10 patches cut from one gastric biopsy slide; 300 × 300 pixels each; H&E stain.
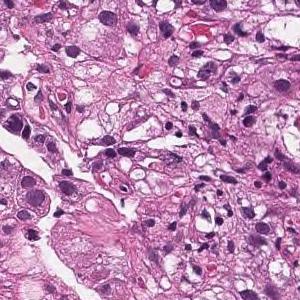
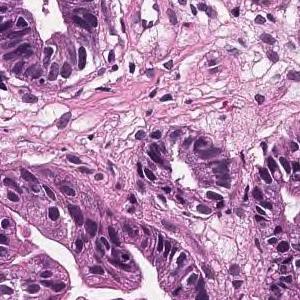
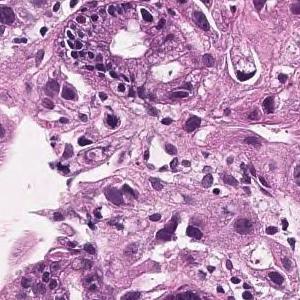
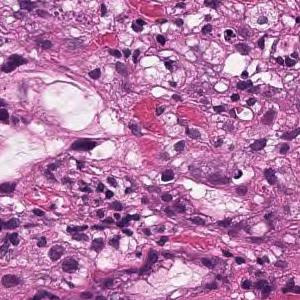
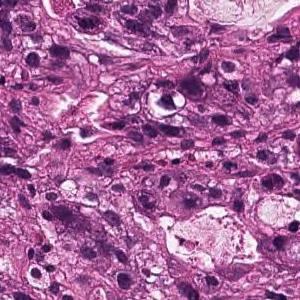
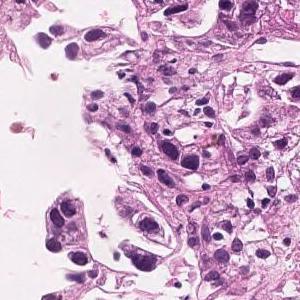
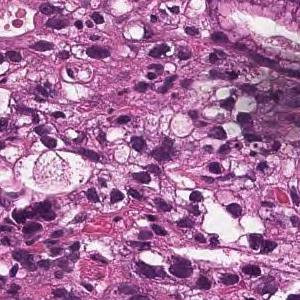
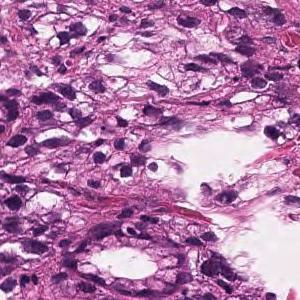
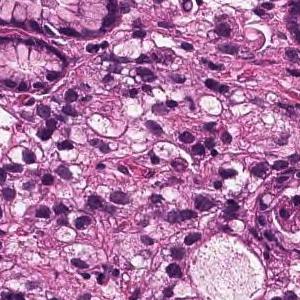
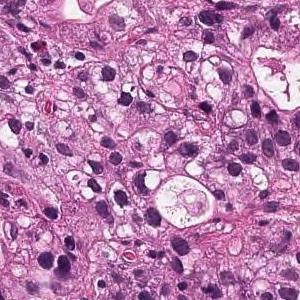
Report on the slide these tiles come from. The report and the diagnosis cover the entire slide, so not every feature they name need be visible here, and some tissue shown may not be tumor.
Medium to small, irregular glandular ducts are formed in the superficial epithelium, and in some cases, the glandular ducts are fused to show solid alveolar lesions and infiltrating tumor tissue is observed. Moderately to poorly differentiated adenocarcinoma.
